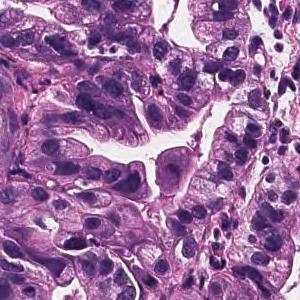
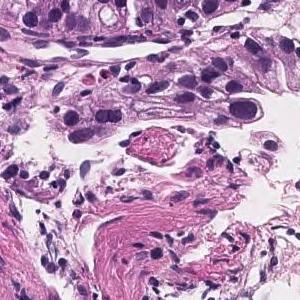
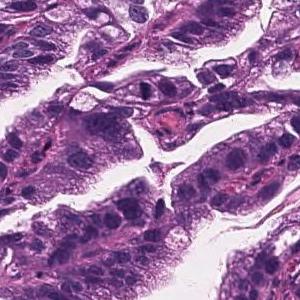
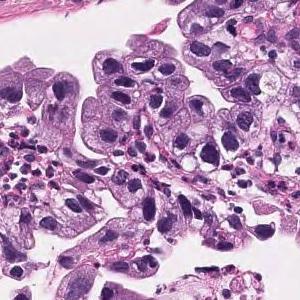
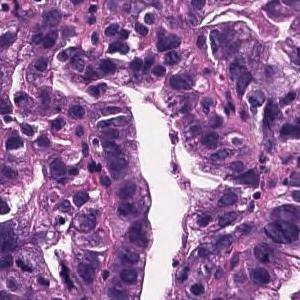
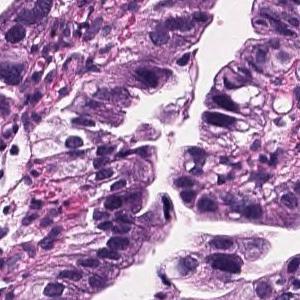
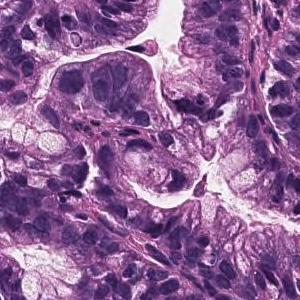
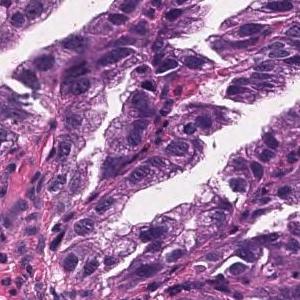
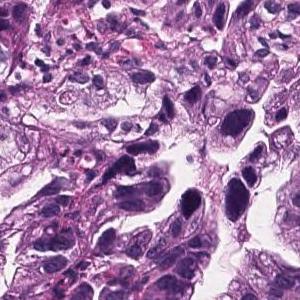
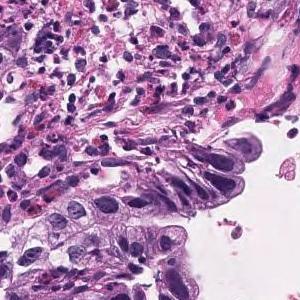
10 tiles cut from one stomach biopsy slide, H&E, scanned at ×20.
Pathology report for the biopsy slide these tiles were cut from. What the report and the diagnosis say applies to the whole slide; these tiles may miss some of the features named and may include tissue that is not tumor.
Tumor cells are large, highly columnar, large club-shaped nuclei, and are associated with chromatin aggregation. Papillary adenocarcinoma.
